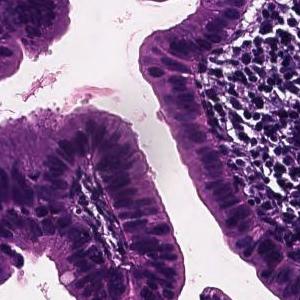
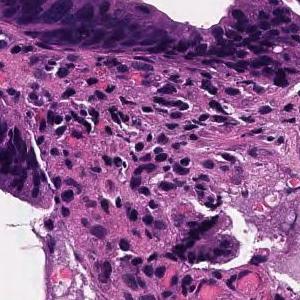
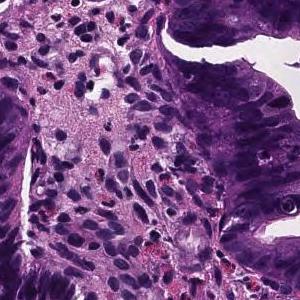
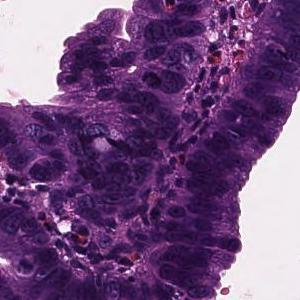
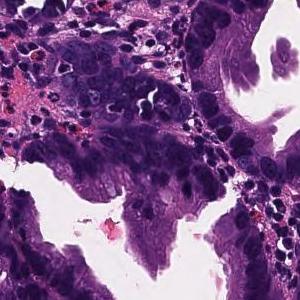
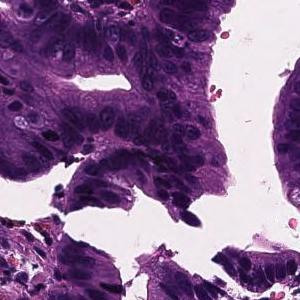
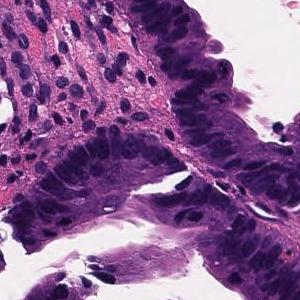
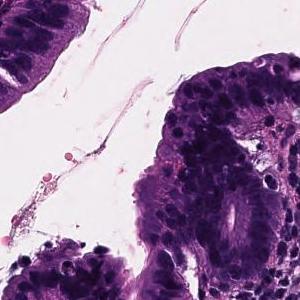
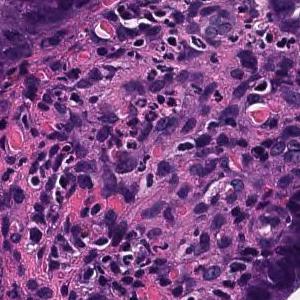
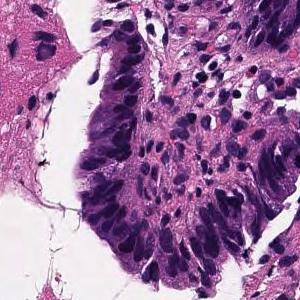
20× magnification · H&E stain · 10 image tiles from a single gastric biopsy slide.
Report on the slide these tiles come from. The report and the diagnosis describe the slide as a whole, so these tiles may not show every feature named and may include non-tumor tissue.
Tumor cells are large, highly columnar, large club-shaped nuclei, and are associated with chromatin aggregation. Papillary adenocarcinoma.
